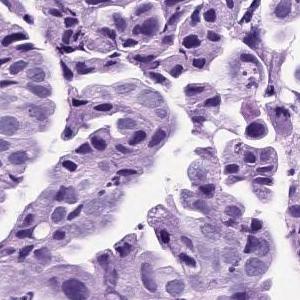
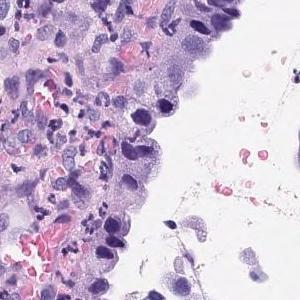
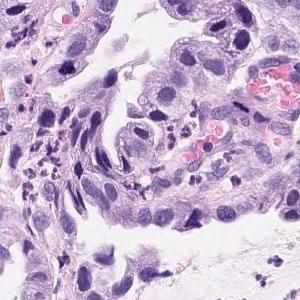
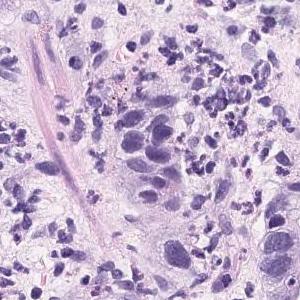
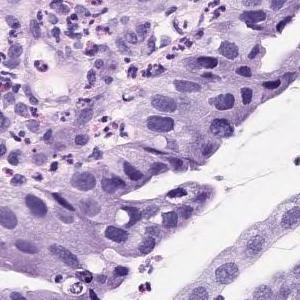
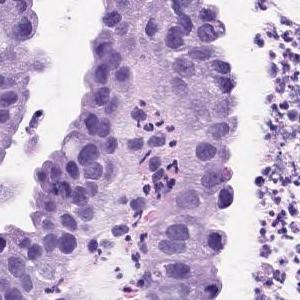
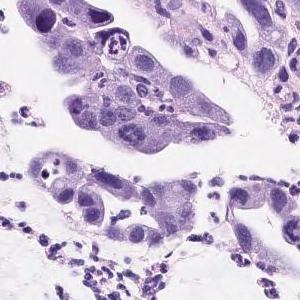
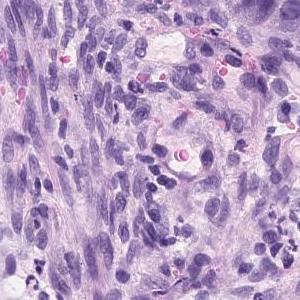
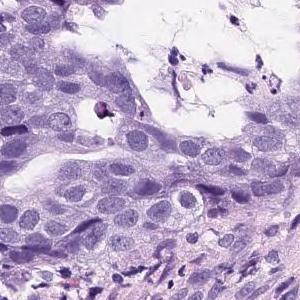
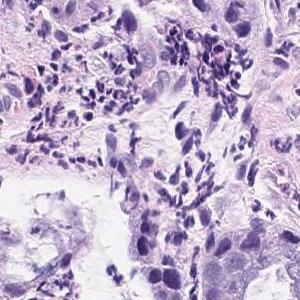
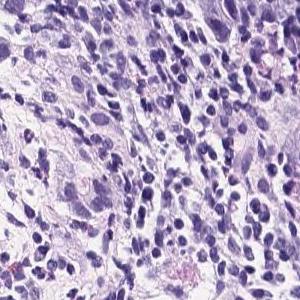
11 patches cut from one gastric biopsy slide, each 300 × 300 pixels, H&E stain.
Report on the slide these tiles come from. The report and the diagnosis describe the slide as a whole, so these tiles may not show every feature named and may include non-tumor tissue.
Atypical l cells with atypical nuclei forming solid or diffuse vesicles or small irregular atypical ducts and growing in a complex manner. Well differentiated tubular adenocarcinoma
